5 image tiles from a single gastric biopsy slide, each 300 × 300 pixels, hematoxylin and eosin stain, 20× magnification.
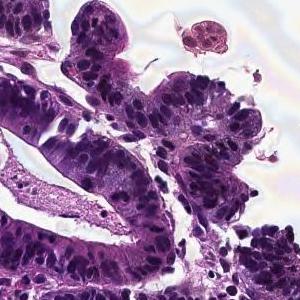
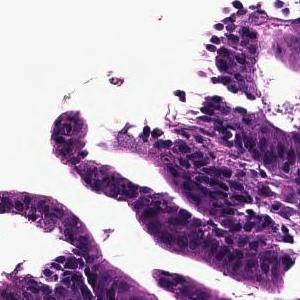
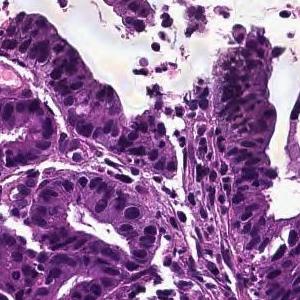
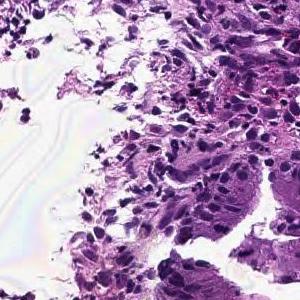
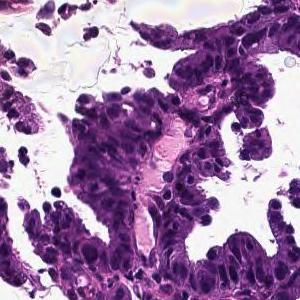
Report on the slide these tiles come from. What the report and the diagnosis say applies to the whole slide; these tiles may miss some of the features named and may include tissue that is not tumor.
Tumor cells are large, highly columnar, large club-shaped nuclei, and are associated with chromatin aggregation. Papillary adenocarcinoma.
